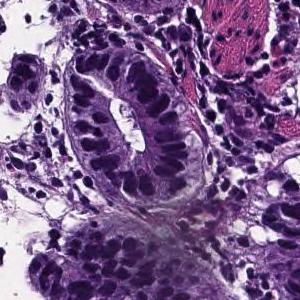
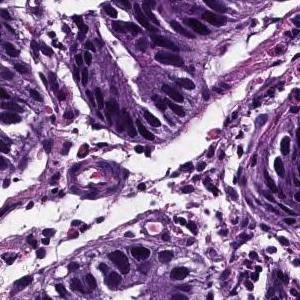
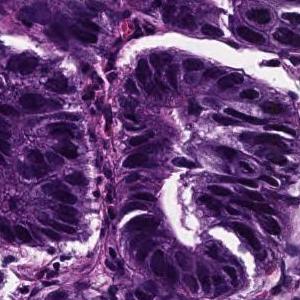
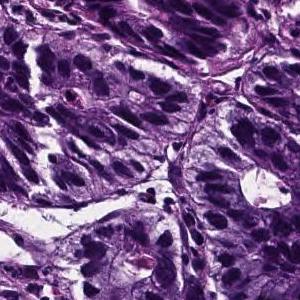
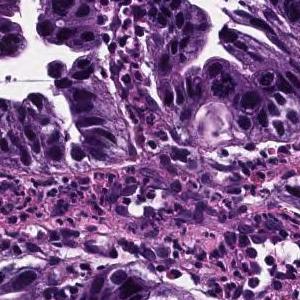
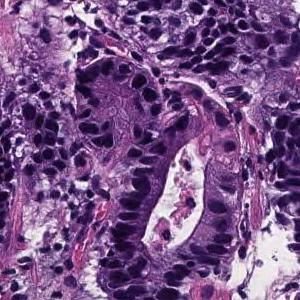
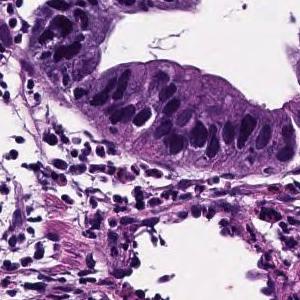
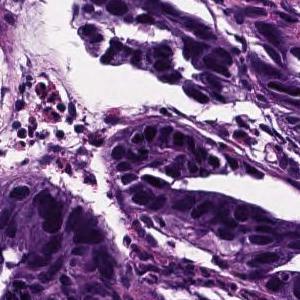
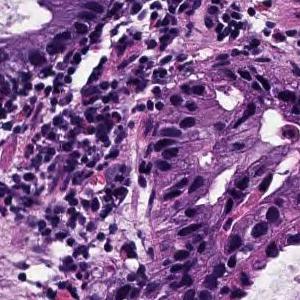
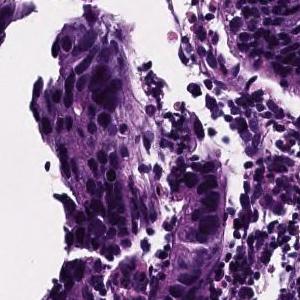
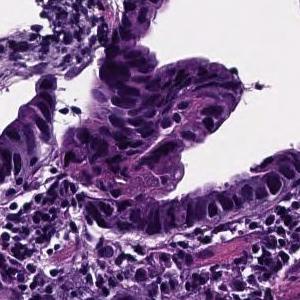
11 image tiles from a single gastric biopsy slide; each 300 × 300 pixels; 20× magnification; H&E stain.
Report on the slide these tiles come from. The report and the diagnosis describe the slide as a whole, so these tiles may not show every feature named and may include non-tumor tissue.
In the superficial epithelium, tumor tissue that invades by forming medium-sized to small, irregular ducts is observed. Moderately differentiated adenocarcinoma.
Histologic type: Moderately differentiated tubular adenocarcinoma.
